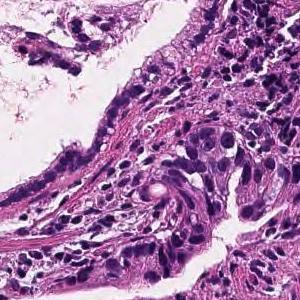
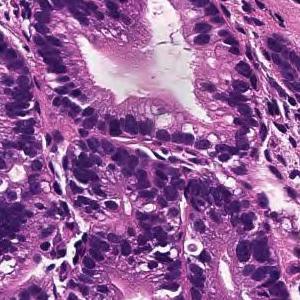
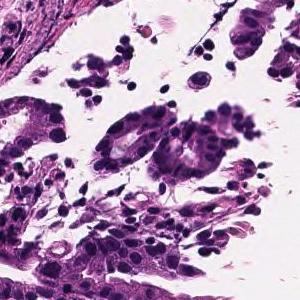
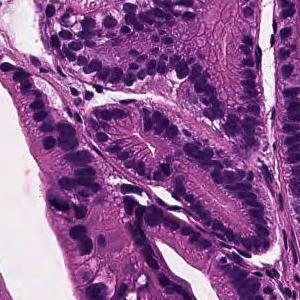
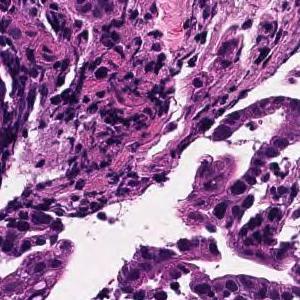
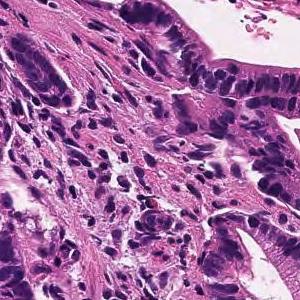
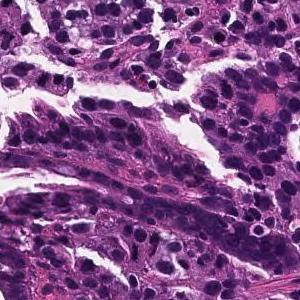
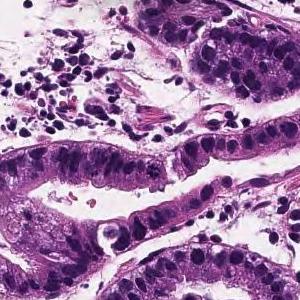
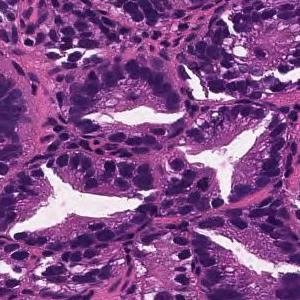
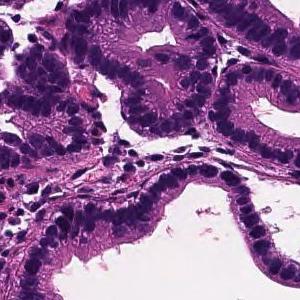
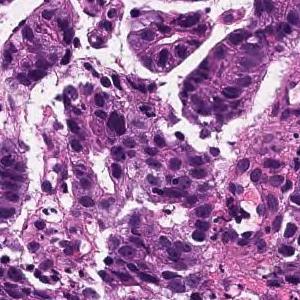
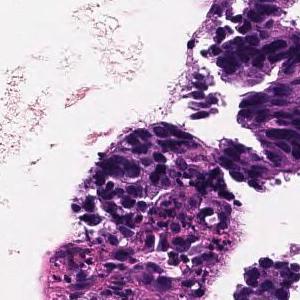
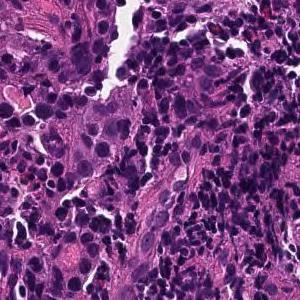
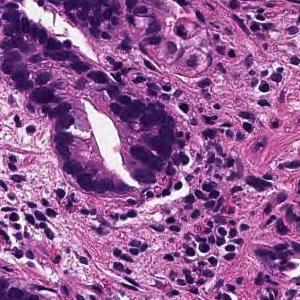
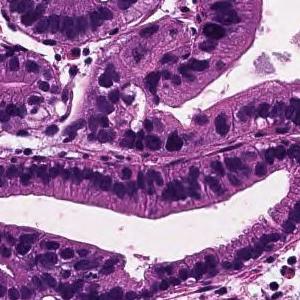
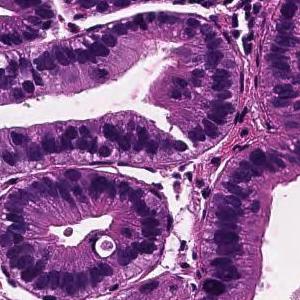
16 image tiles from a single gastric biopsy slide, 300 × 300 pixels each, 20× magnification, H&E.
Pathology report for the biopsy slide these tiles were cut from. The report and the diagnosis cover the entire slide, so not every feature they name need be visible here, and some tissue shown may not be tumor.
From the superficial epithelium to the muscularis mucosae, tumor tissue consisting of medium-sized and irregular glandular ducts infiltrating is observed. Well differentiated tubular adenocarcinoma
